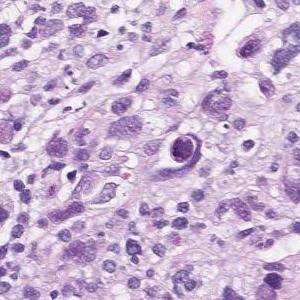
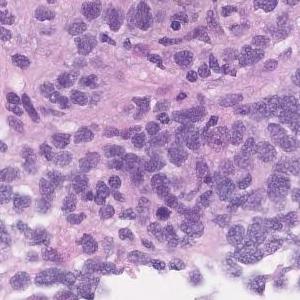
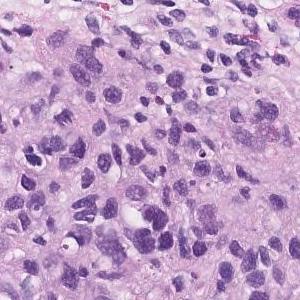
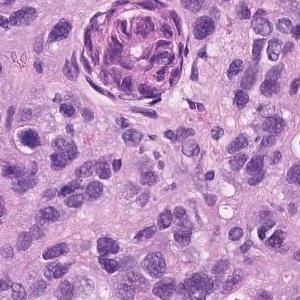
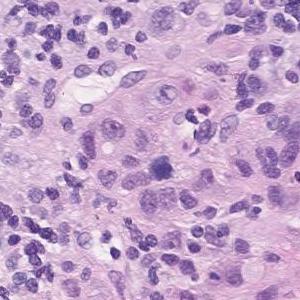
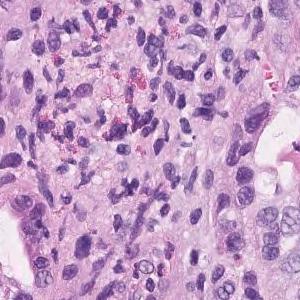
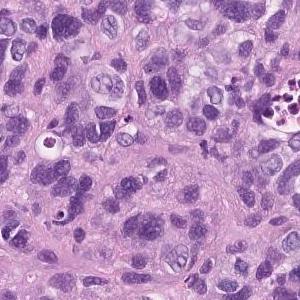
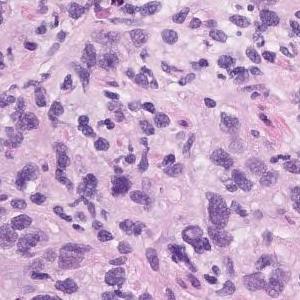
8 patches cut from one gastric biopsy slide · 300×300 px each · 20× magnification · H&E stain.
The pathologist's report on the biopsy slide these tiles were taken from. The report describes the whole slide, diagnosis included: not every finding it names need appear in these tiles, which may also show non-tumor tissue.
Atypical l cells with atypical nuclei under the mucosa growing in isolation and scattered. Poorly differentiated adenocarcinoma (poorly differentiated adenocarcinoma, non-solid type)
Tumor subtype: poorly differentiated adenocarcinoma, non-solid type.
The term "non-solid type" comes from the Japanese Classification of Gastric Carcinoma.
